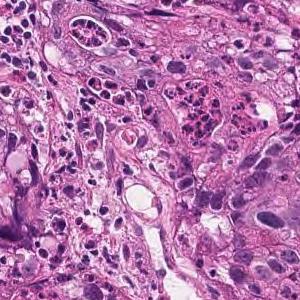
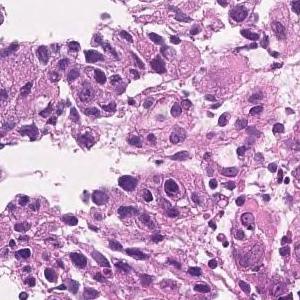
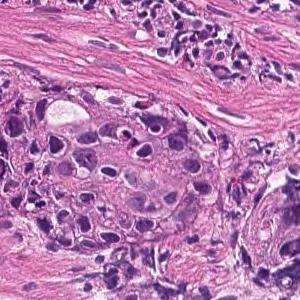
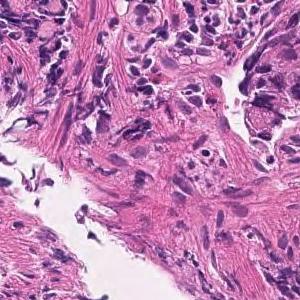
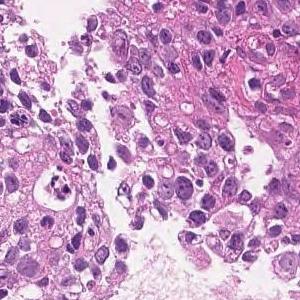
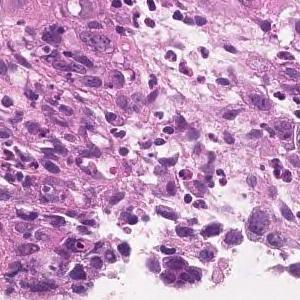
6 tiles from the same stomach biopsy slide; 20× magnification; H&E stain.
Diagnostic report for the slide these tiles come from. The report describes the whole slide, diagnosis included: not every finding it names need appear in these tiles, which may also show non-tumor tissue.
The superficial epithelium shows a large sheet-like shape, and some tumor tissue infiltrates with small irregular ducts. Poorly differentiated adenocarcinoma, solid-type
Tumor subtype: poorly differentiated adenocarcinoma, solid type, a category of the Japanese Classification of Gastric Carcinoma; in the WHO 2019 classification it is tubular adenocarcinoma, poorly differentiated.
